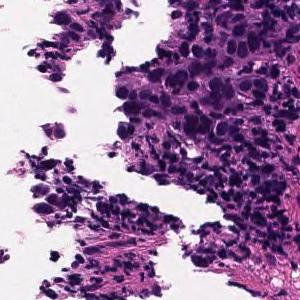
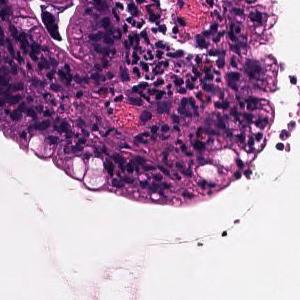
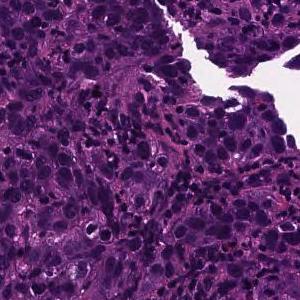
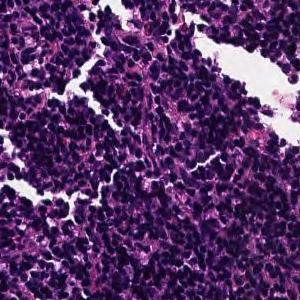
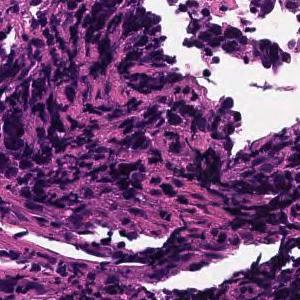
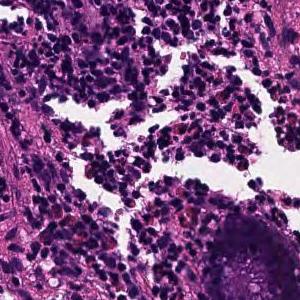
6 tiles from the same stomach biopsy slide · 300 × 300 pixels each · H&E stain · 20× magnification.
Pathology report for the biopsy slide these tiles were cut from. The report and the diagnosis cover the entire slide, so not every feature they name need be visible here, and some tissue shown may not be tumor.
Tumor tissue consisting of cord-like or small, irregular glandular ducts fused and infiltrated is observed in the superficial epithelium. Poorly differentiated adenocarcinoma, non-solid type
"Non-solid type" is a category of the Japanese Classification of Gastric Carcinoma.
